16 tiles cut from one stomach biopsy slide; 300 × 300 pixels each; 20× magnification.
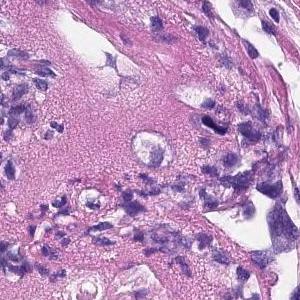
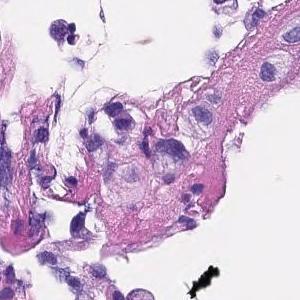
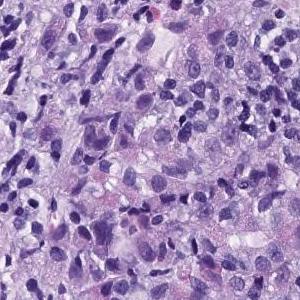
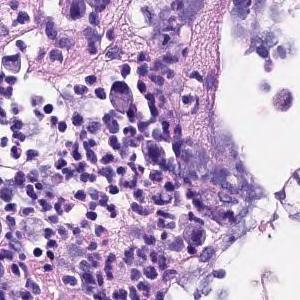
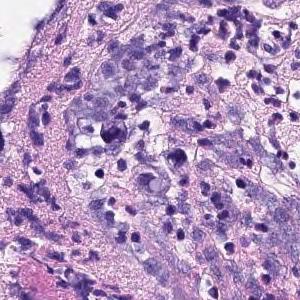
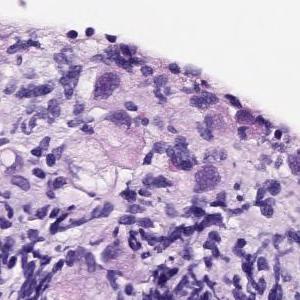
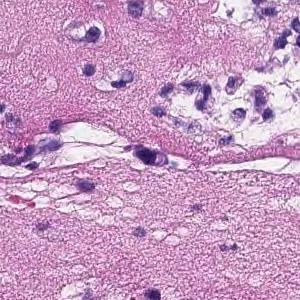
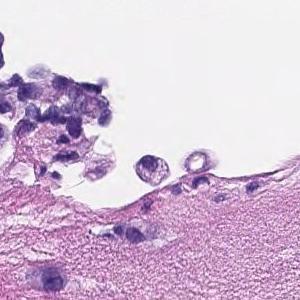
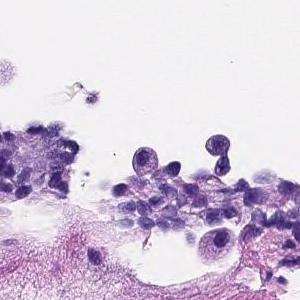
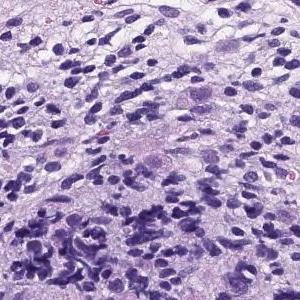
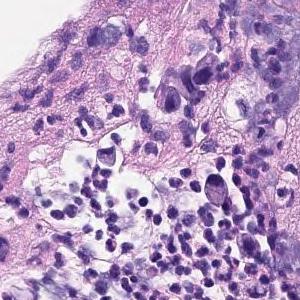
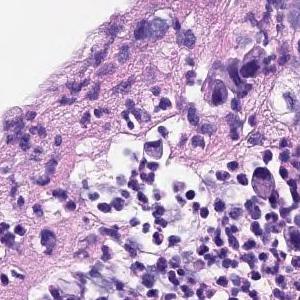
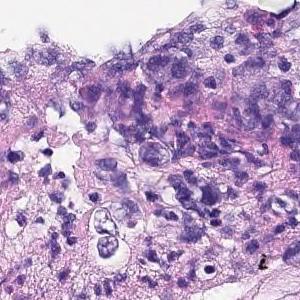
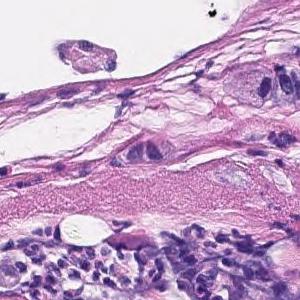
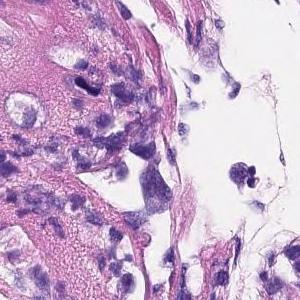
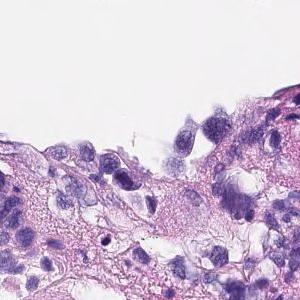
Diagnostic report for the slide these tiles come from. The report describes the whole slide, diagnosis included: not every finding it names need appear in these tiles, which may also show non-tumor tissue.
A large atypical epithelium lacking ductal construction with swelling of the nucleus is seen to proliferate solidly. Poorly differentiated adenocarcinoma.
Histological subtype: Poorly differentiated adenocarcinoma, non-solid type.
The non-solid type named here is a Japanese Classification of Gastric Carcinoma category.
